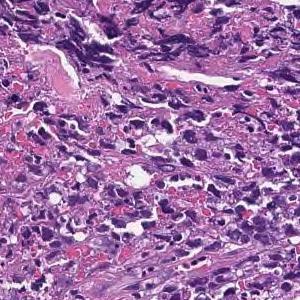
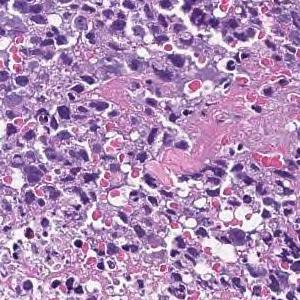
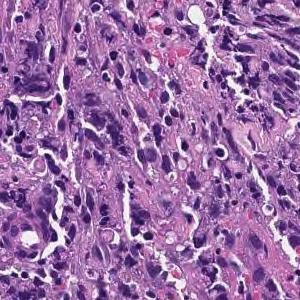
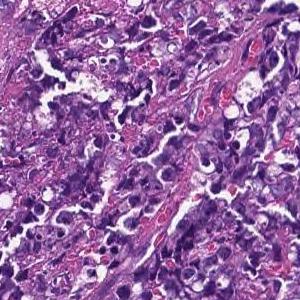
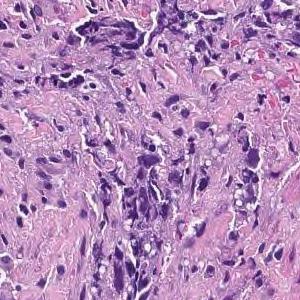
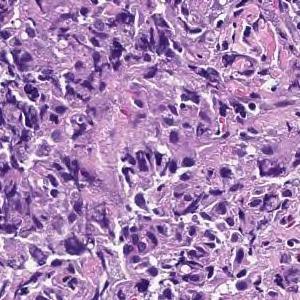
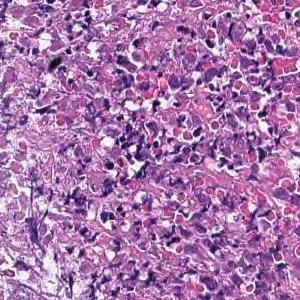
7 tiles from the same stomach biopsy slide; 300×300 px each; hematoxylin and eosin stain; ×20.
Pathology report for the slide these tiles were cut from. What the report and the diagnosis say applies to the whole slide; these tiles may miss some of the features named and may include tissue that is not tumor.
Most are composed of coagulative necrotic tissue, but some show a large sheet-like shape, and some show tumor tissue infiltrating with a small cord-like structure. Poorly differentiated adenocarcinoma, solid-type
Histological subtype: Poorly differentiated adenocarcinoma, solid type (Japanese Classification of Gastric Carcinoma). The WHO 2019 equivalent is tubular adenocarcinoma, poorly differentiated.
